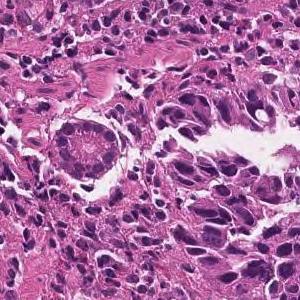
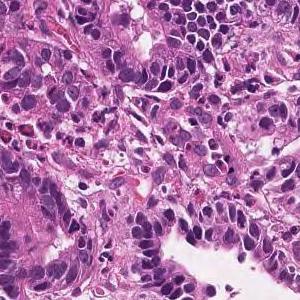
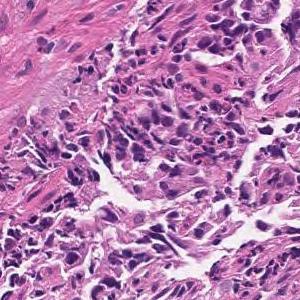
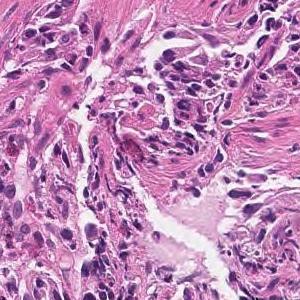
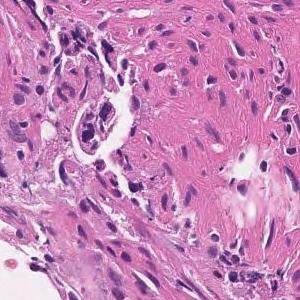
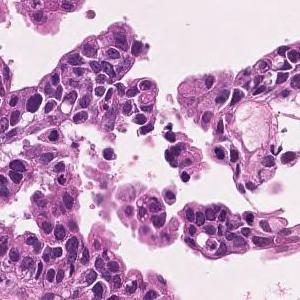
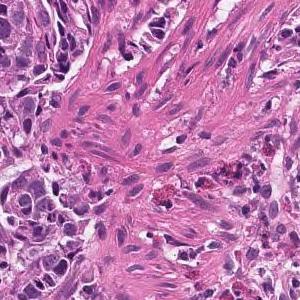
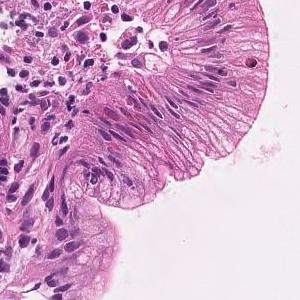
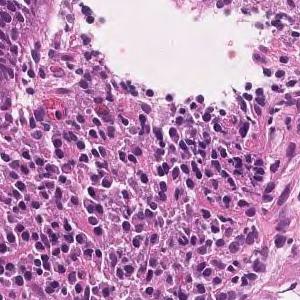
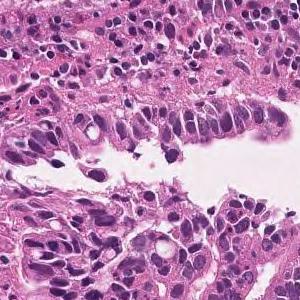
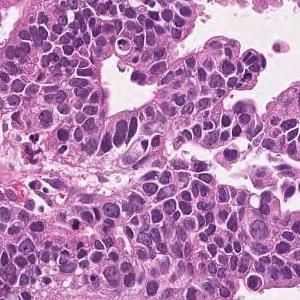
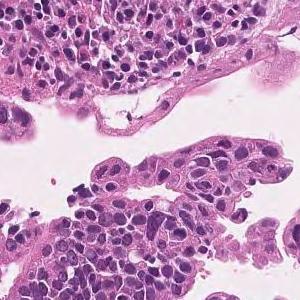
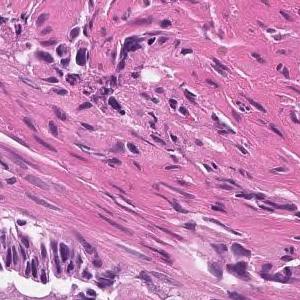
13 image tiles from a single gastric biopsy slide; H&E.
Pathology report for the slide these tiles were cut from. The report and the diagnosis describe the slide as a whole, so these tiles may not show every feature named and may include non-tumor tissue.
Medium to small, irregular glandular ducts are formed in the superficial epithelium, and in some cases, the glandular ducts are fused to show solid alveolar lesions and infiltrating tumor tissue is observed. Moderately to poorly differentiated adenocarcinoma.
